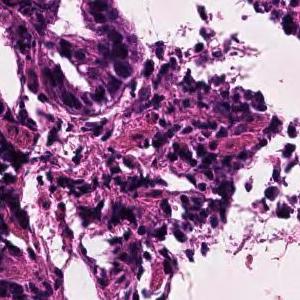
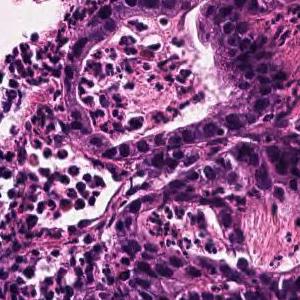
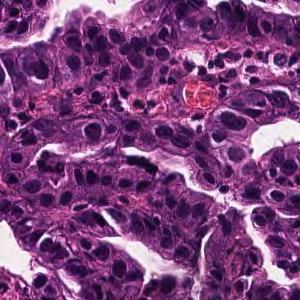
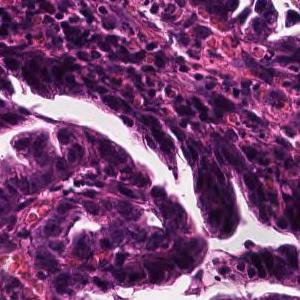
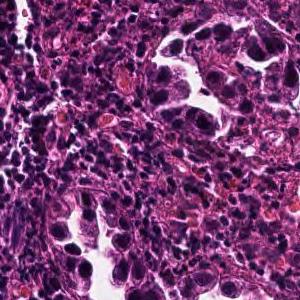
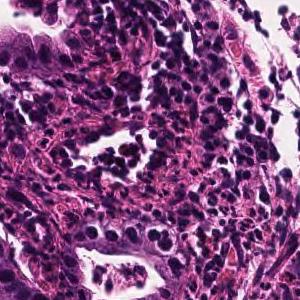
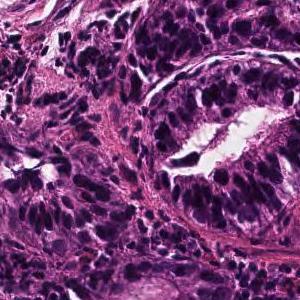
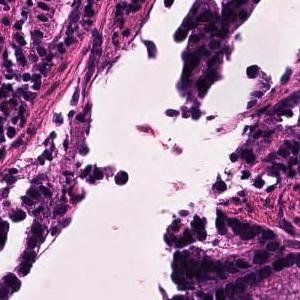
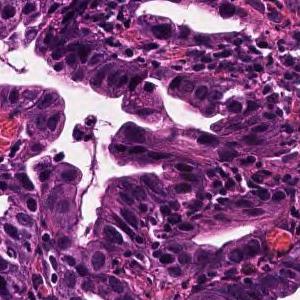
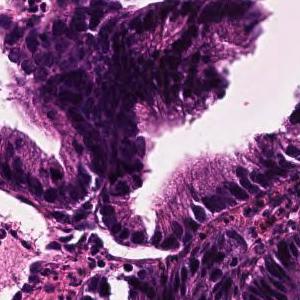
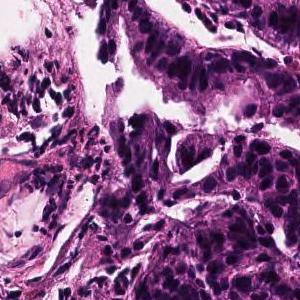
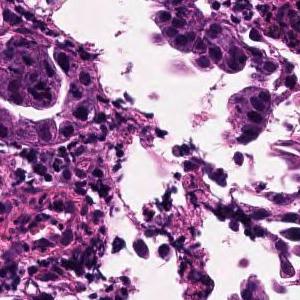
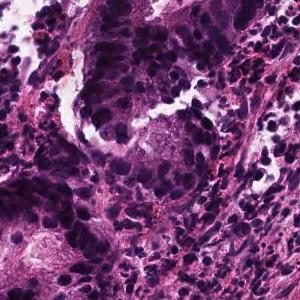
13 tiles from the same stomach biopsy slide, each 300 × 300 pixels, H&E.
The pathologist's report on the biopsy slide these tiles were taken from. What the report and the diagnosis say applies to the whole slide; these tiles may miss some of the features named and may include tissue that is not tumor.
Tumor tissue consisting of large papillary structures is found in the superficial epithelium. Papillary adenocarcinoma.
